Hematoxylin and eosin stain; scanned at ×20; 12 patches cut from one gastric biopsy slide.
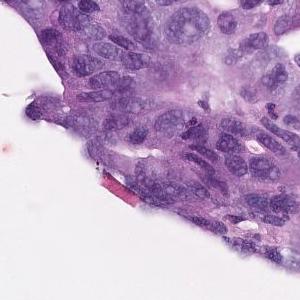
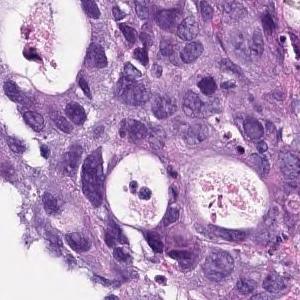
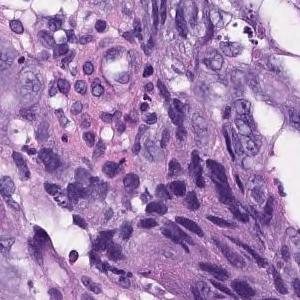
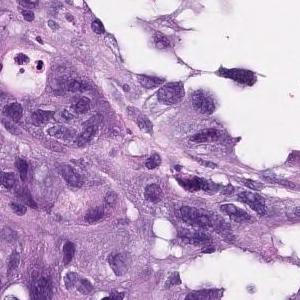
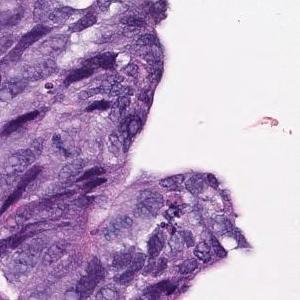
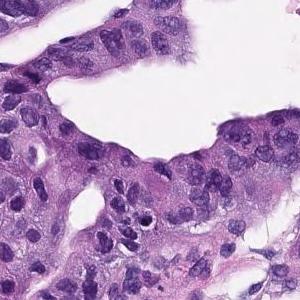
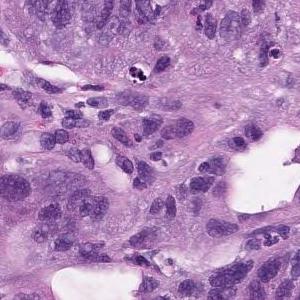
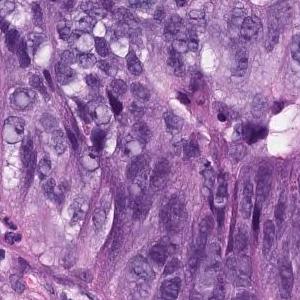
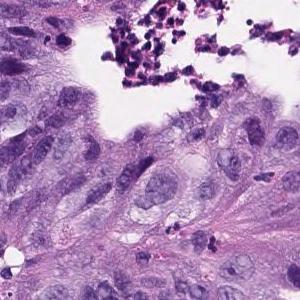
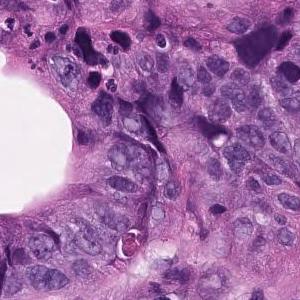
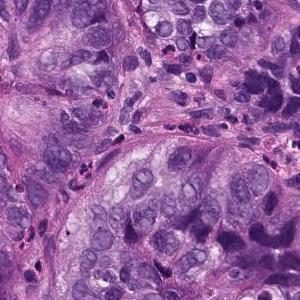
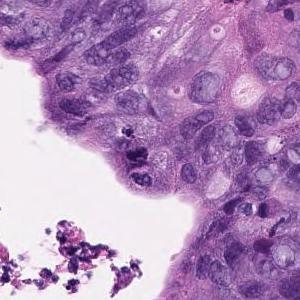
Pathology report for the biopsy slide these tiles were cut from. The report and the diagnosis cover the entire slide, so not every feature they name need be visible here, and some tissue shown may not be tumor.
In the superficial epithelium, tumor tissue that invades by forming medium-sized to small, irregular ducts is observed. Moderately differentiated adenocarcinoma.
Subtype: Moderately differentiated tubular adenocarcinoma.
